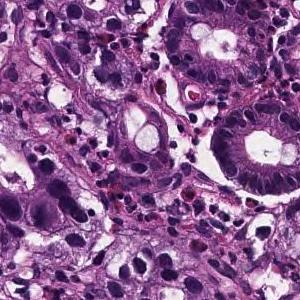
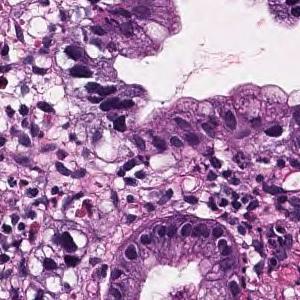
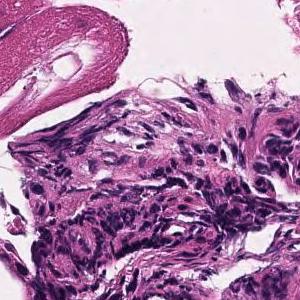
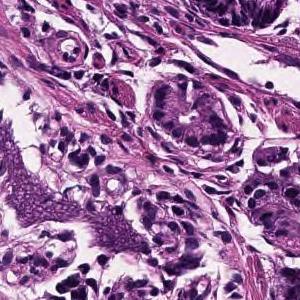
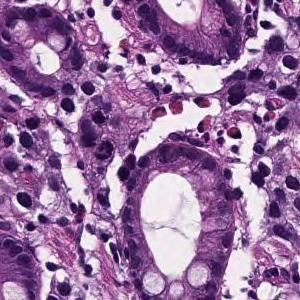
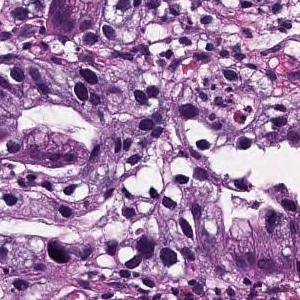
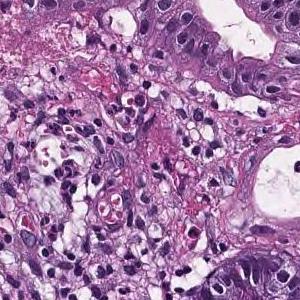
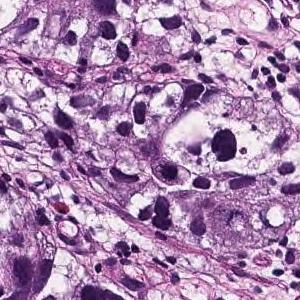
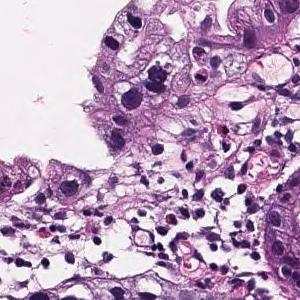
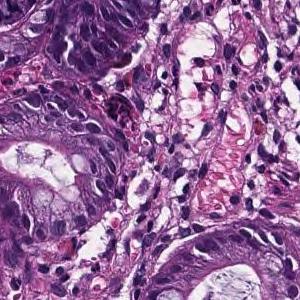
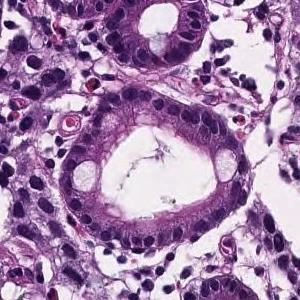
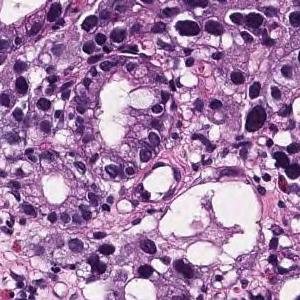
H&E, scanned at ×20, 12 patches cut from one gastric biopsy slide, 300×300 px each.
Diagnostic report for the slide these tiles come from. The report and the diagnosis cover the entire slide, so not every feature they name need be visible here, and some tissue shown may not be tumor.
In the superficial epithelium, medium to small irregular gland ducts are formed, and in some cases, the ducts are fused to show solid alveolar lesions and infiltrating tumor tissue is observed. Moderately to poorly differentiated adenocarcinoma
